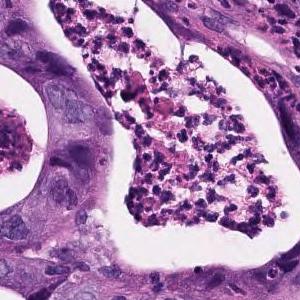
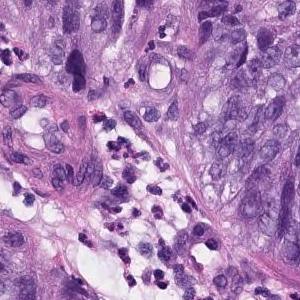
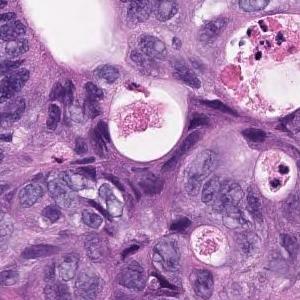
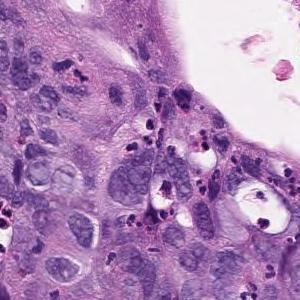
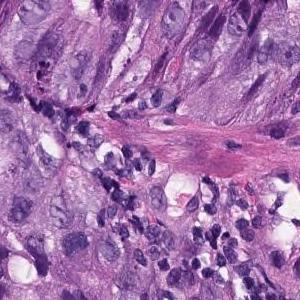
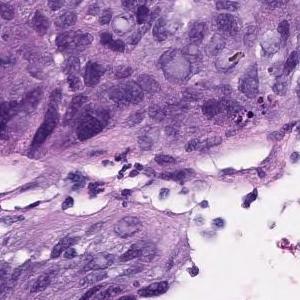
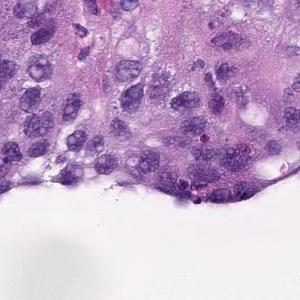
Scanned at ×20; H&E; 7 image tiles from a single gastric biopsy slide; each 300 × 300 pixels.
Pathology report for the slide these tiles were cut from. The report and the diagnosis describe the slide as a whole, so these tiles may not show every feature named and may include non-tumor tissue.
In the superficial epithelium, tumor tissue that invades by forming medium-sized to small, irregular ducts is observed. Moderately differentiated adenocarcinoma.
Histological subtype: Moderately differentiated tubular adenocarcinoma.
